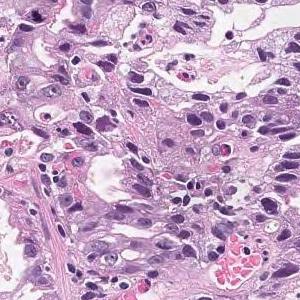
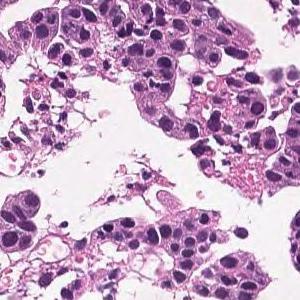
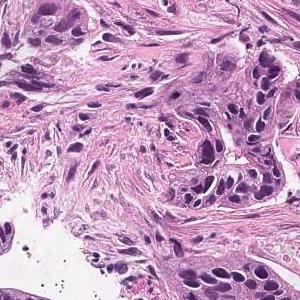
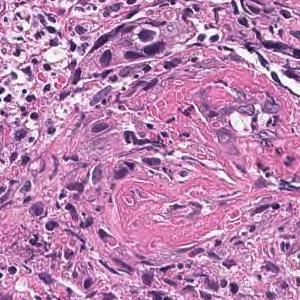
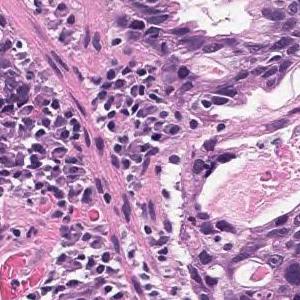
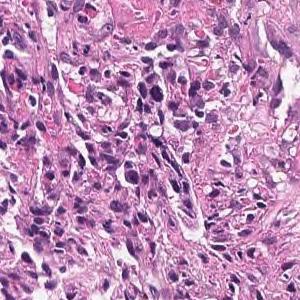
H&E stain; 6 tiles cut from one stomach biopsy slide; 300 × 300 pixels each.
Pathology report for the biopsy slide these tiles were cut from. What the report and the diagnosis say applies to the whole slide; these tiles may miss some of the features named and may include tissue that is not tumor.
Tumor cells are large, highly columnar, large club-shaped nuclei, and are associated with chromatin aggregation. Papillary adenocarcinoma.
